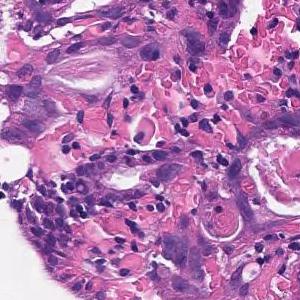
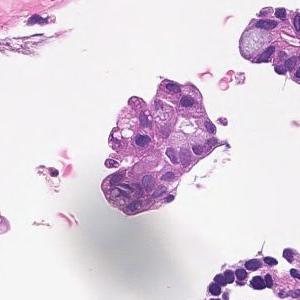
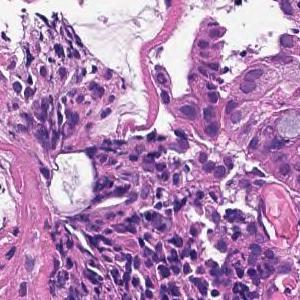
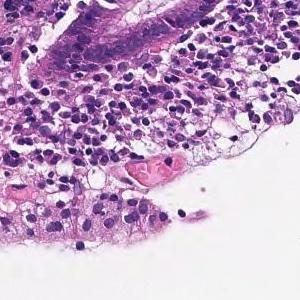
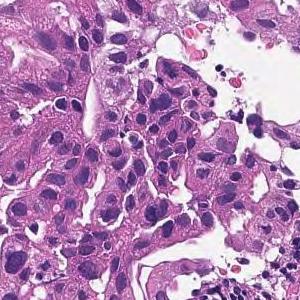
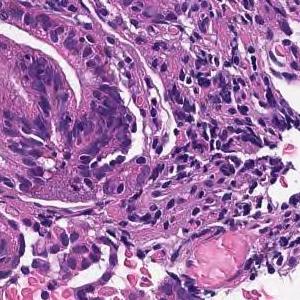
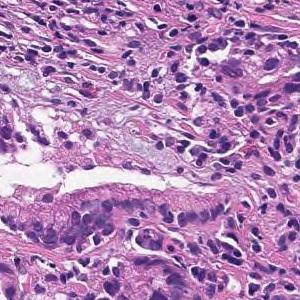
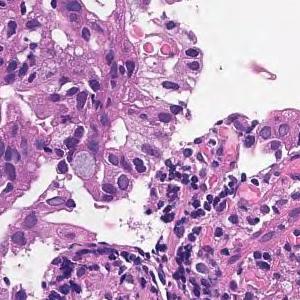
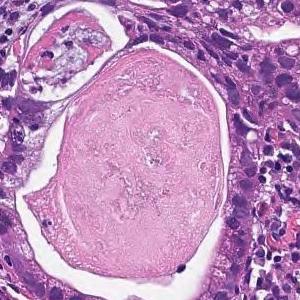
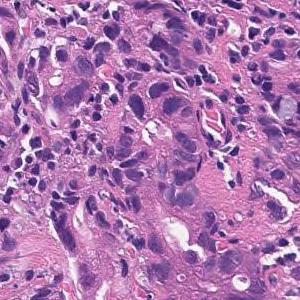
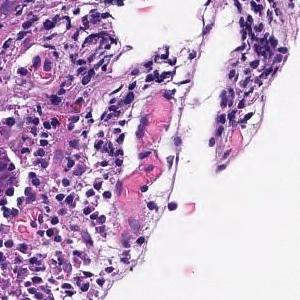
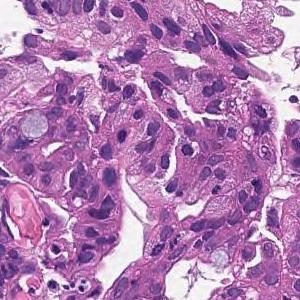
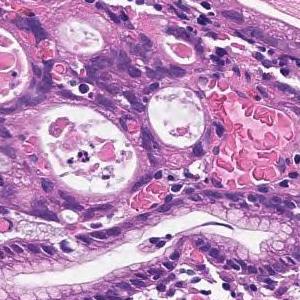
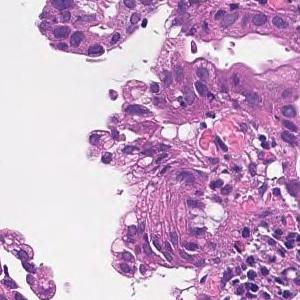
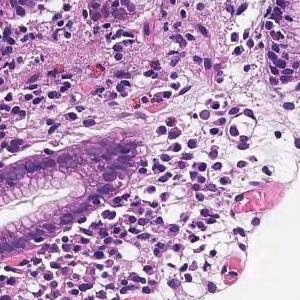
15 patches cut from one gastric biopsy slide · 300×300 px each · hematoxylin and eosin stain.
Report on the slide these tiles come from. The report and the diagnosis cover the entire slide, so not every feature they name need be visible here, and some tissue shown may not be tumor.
In the superficial epithelium, tumor tissue that invades by forming medium-sized to small, irregular ducts is observed. moderately differentiated tubular adenocarcinoma.
